20× magnification, 15 tiles from the same stomach biopsy slide, 300 × 300 pixels each.
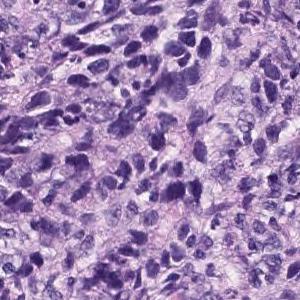
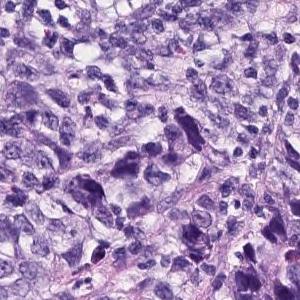
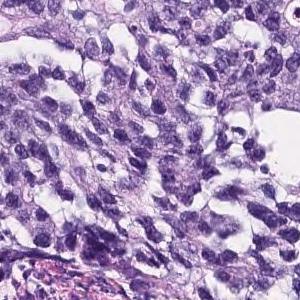
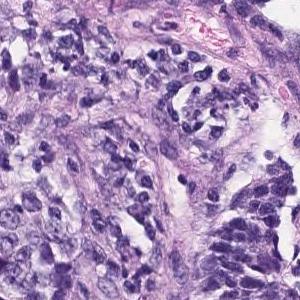
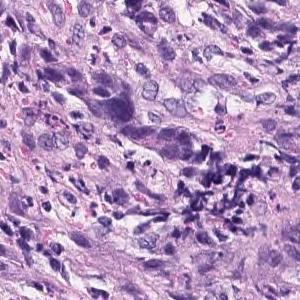
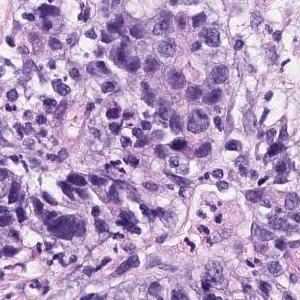
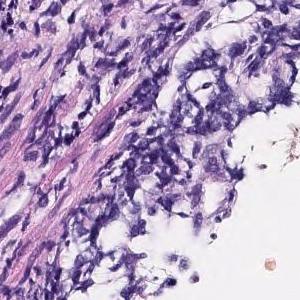
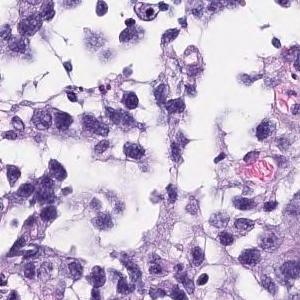
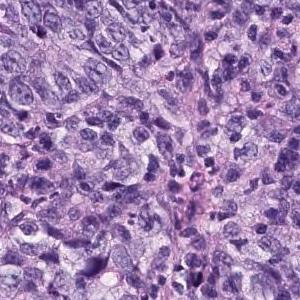
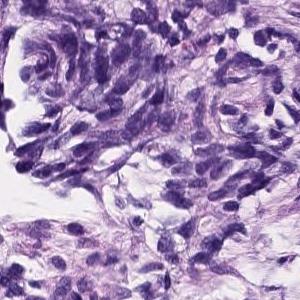
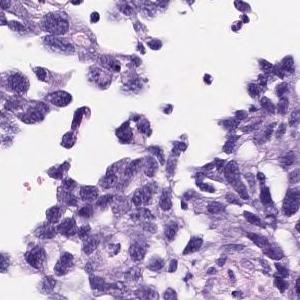
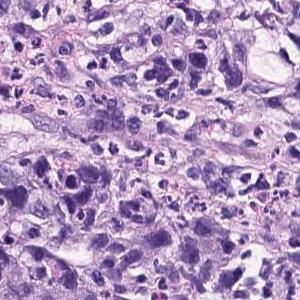
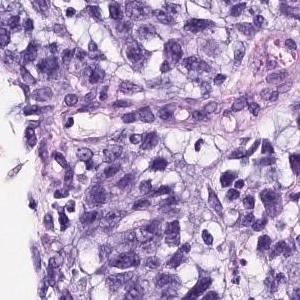
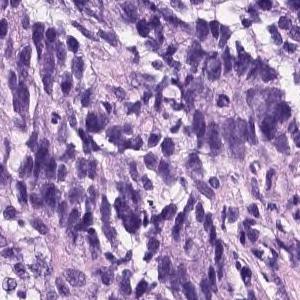
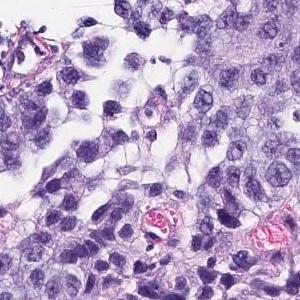
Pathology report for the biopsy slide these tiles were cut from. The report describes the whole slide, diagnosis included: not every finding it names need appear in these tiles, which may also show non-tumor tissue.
The superficial epithelium shows a large sheet-like shape, and some tumor tissue infiltrates with small irregular ducts. Poorly differentiated adenocarcinoma, solid-type
Classified as poorly differentiated adenocarcinoma, solid type, a category of the Japanese Classification of Gastric Carcinoma; in the WHO 2019 classification it is tubular adenocarcinoma, poorly differentiated.
